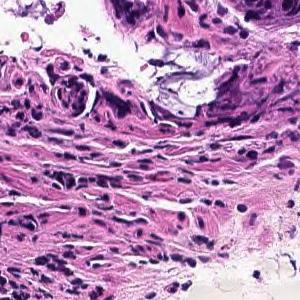
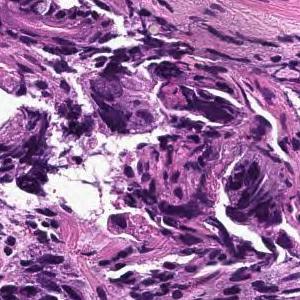
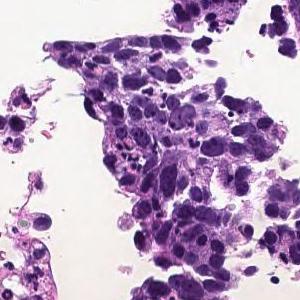
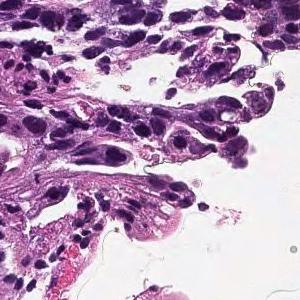
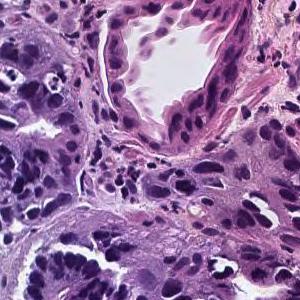
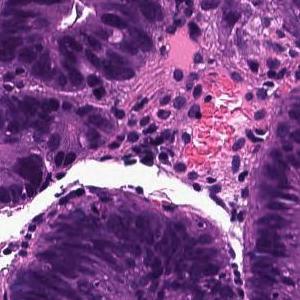
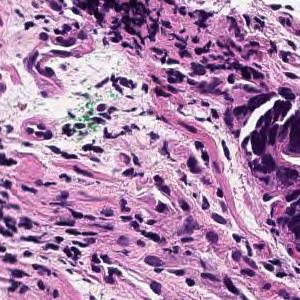
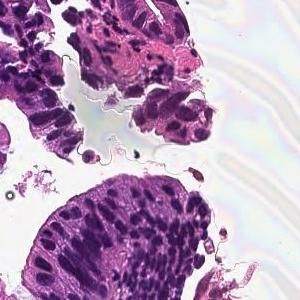
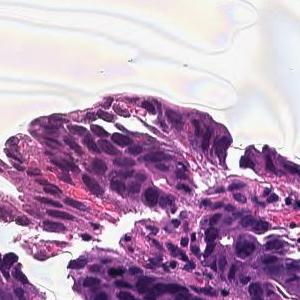
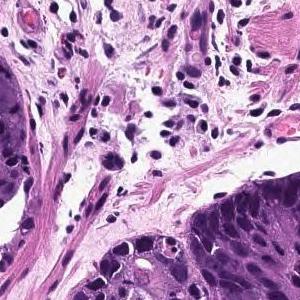
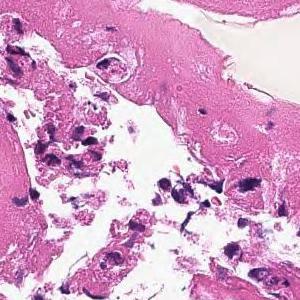
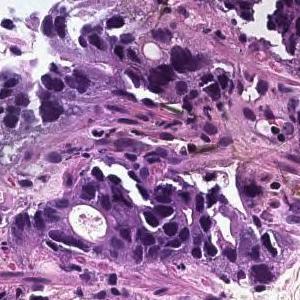
20× magnification, hematoxylin and eosin stain, 12 image tiles from a single gastric biopsy slide.
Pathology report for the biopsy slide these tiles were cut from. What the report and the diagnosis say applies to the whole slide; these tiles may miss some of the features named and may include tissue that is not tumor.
In the superficial epithelium, tumor tissue that invades by forming medium-sized to small, irregular ducts is observed. moderately differentiated tubular adenocarcinoma.
